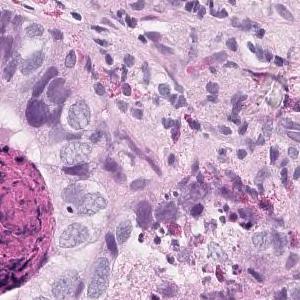
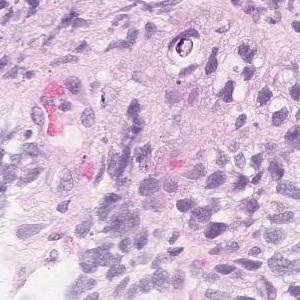
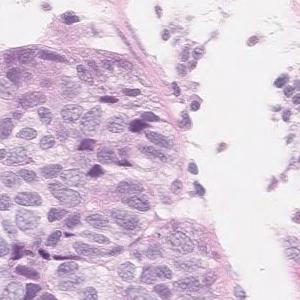
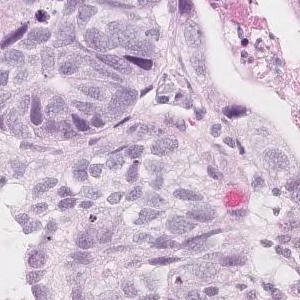
20× magnification; 4 image tiles from a single gastric biopsy slide; each 300 × 300 pixels.
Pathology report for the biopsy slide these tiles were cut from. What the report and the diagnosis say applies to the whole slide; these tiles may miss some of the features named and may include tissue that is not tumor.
In the superficial epithelium, tumor tissue that invades by forming medium-sized to small, irregular ducts is observed. Moderately differentiated adenocarcinoma.
Classified as moderately differentiated tubular adenocarcinoma.
